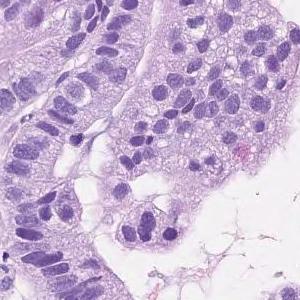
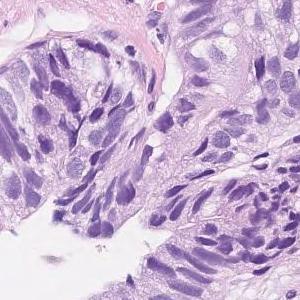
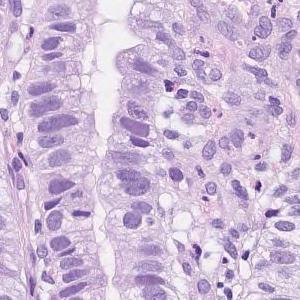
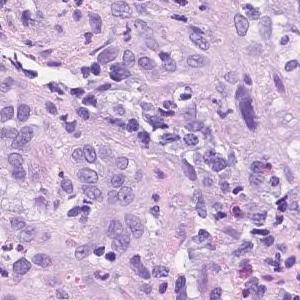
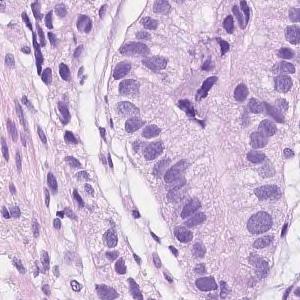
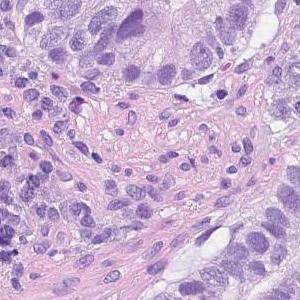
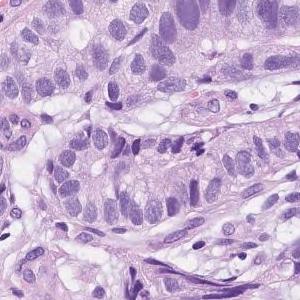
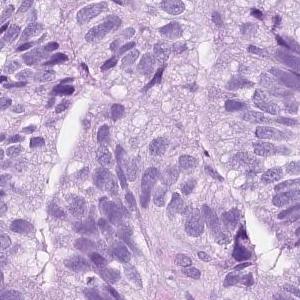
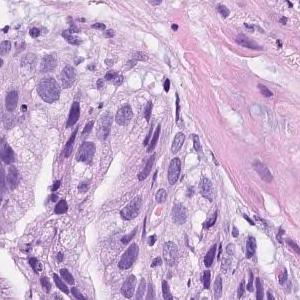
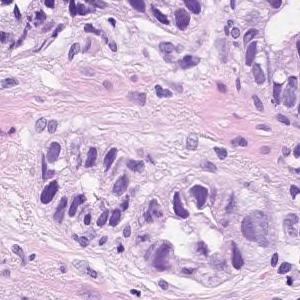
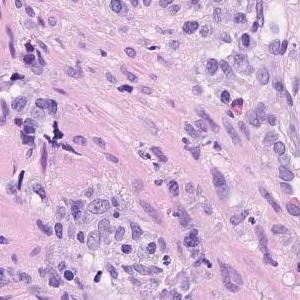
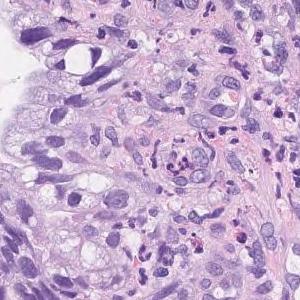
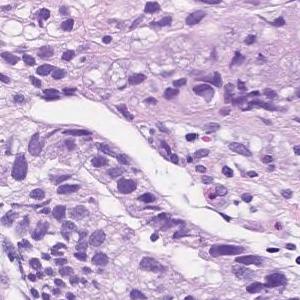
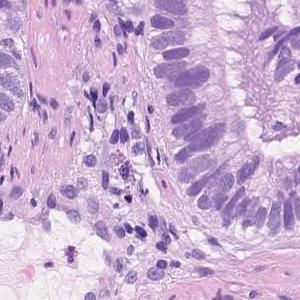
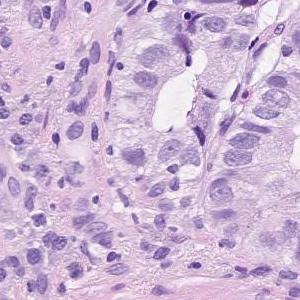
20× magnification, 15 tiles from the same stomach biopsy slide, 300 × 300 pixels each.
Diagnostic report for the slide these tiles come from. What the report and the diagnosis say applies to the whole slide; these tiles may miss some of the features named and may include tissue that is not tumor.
Atypical l cells with atypical nuclei forming solid or diffuse vesicles or small irregular atypical ducts and growing in a complex manner. moderately differentiated tubular adenocarcinoma
